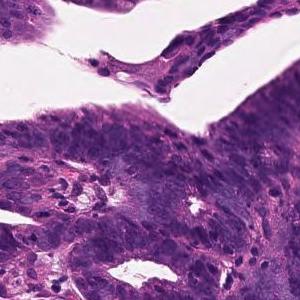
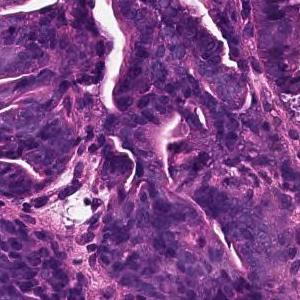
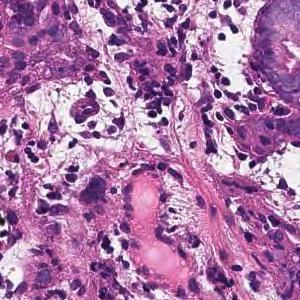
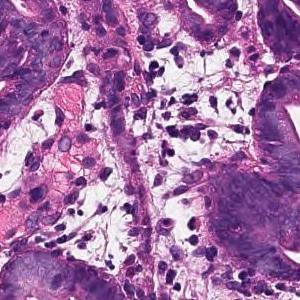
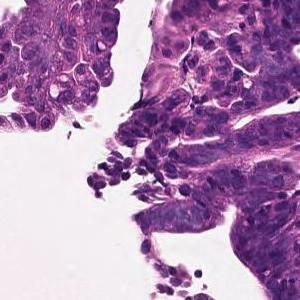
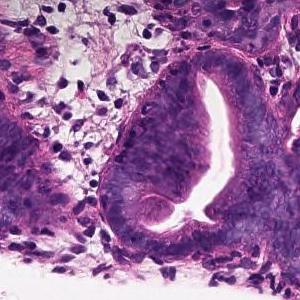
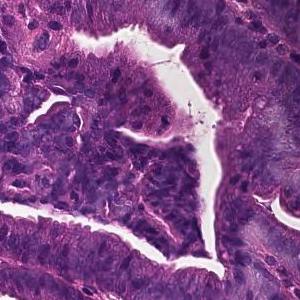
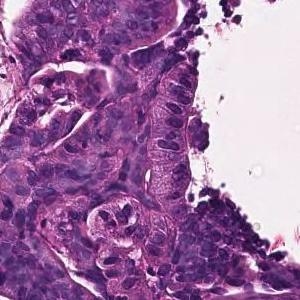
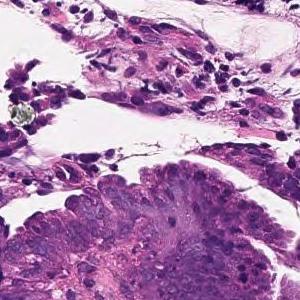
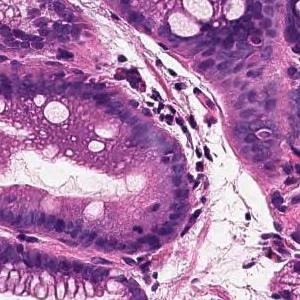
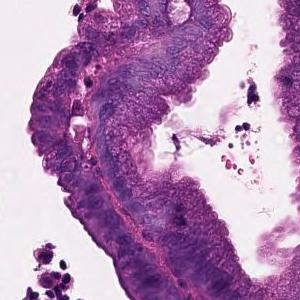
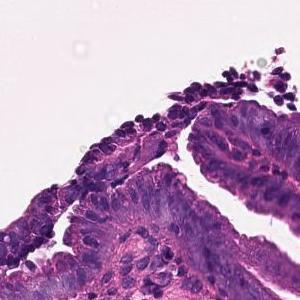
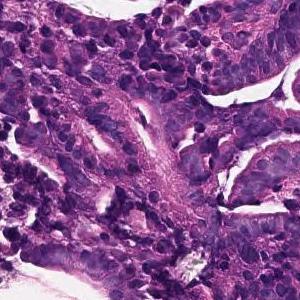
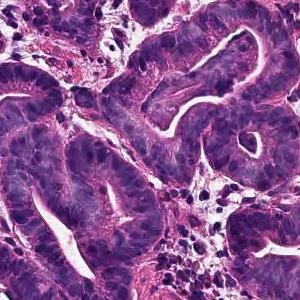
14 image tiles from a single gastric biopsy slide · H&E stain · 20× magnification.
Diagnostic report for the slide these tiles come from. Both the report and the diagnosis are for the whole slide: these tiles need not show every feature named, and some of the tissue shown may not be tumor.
Tumor cells are large, highly columnar, large club-shaped nuclei, and are associated with chromatin aggregation. Papillary adenocarcinoma.
